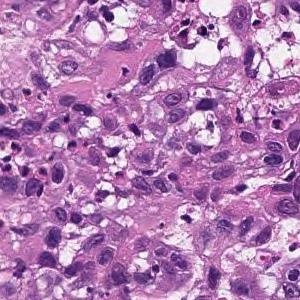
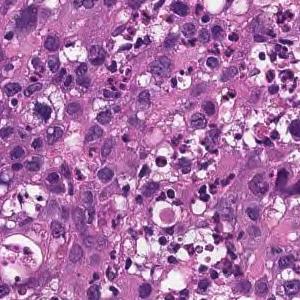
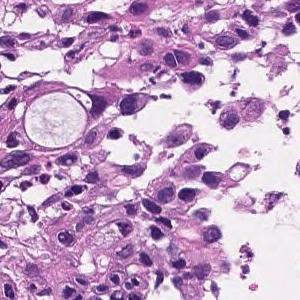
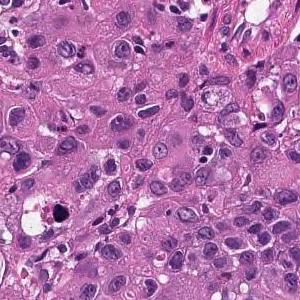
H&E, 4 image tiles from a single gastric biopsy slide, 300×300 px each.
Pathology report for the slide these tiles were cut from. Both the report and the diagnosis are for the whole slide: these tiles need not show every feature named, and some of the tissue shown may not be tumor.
The superficial epithelium shows a large sheet-like shape, and some tumor tissue infiltrates with small irregular ducts. Poorly differentiated adenocarcinoma, solid-type
Classified as poorly differentiated adenocarcinoma, solid type. This name comes from the Japanese Classification of Gastric Carcinoma; the WHO 2019 classification calls it tubular adenocarcinoma, poorly differentiated.
